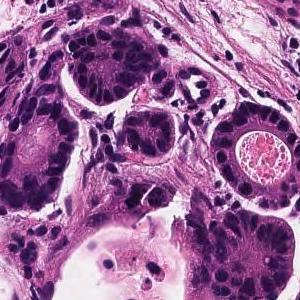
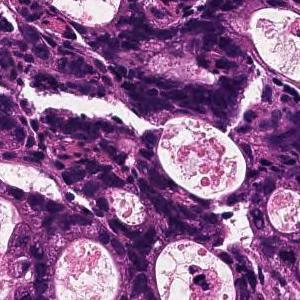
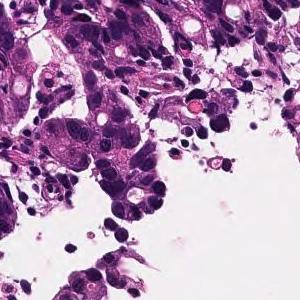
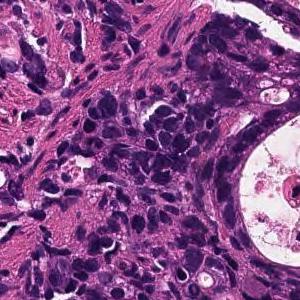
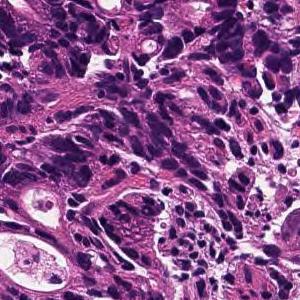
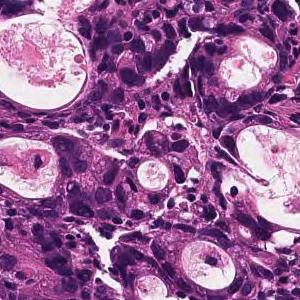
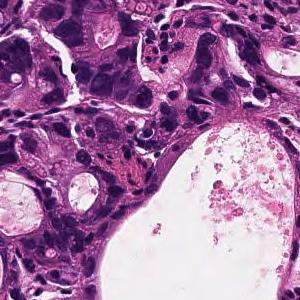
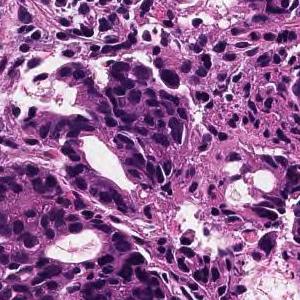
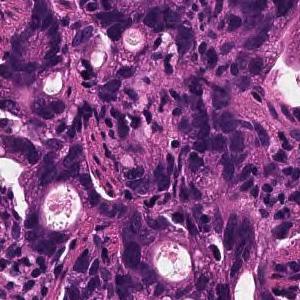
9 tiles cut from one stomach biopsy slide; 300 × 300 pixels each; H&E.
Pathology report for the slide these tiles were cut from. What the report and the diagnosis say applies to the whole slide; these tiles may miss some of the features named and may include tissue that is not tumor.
In the superficial epithelium, tumor tissue that invades by forming medium-sized to small, irregular ducts is observed. moderately differentiated tubular adenocarcinoma.
